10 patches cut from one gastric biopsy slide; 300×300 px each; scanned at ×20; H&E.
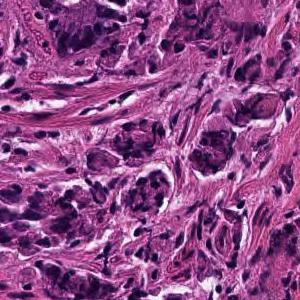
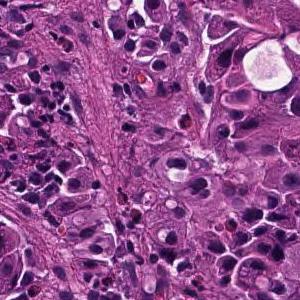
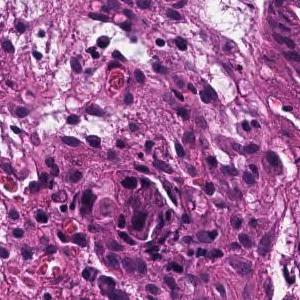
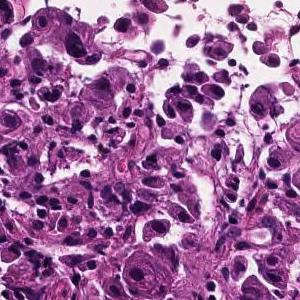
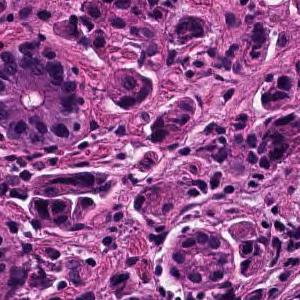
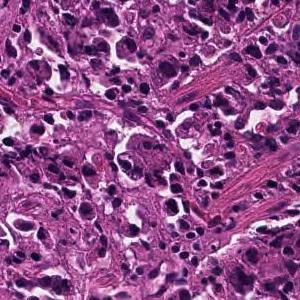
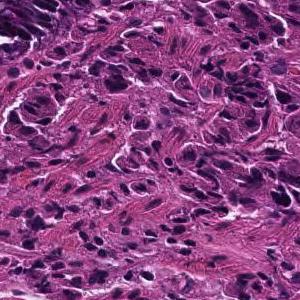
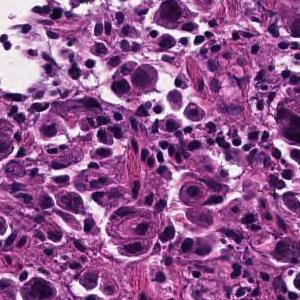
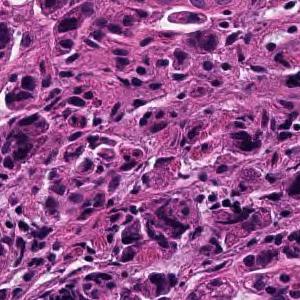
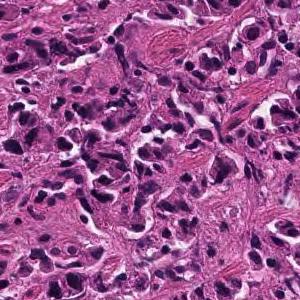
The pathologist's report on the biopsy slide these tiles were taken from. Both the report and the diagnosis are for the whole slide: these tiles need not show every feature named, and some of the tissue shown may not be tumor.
Tumor tissue consisting of cord-like or small, irregular glandular ducts fused and infiltrated is observed in the superficial epithelium. Poorly differentiated adenocarcinoma, non-solid type
The term "non-solid type" comes from the Japanese Classification of Gastric Carcinoma.
